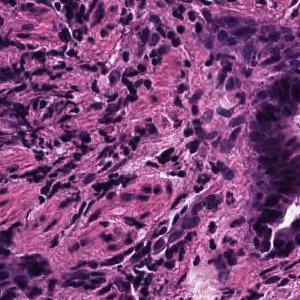
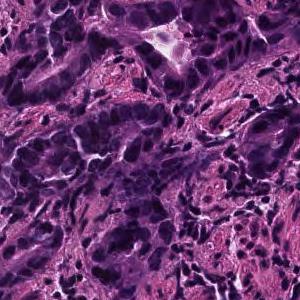
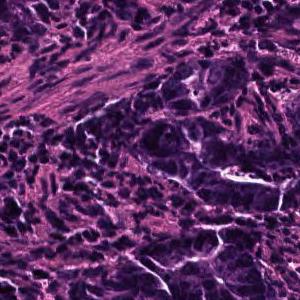
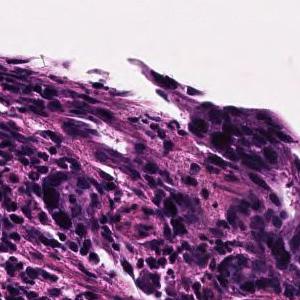
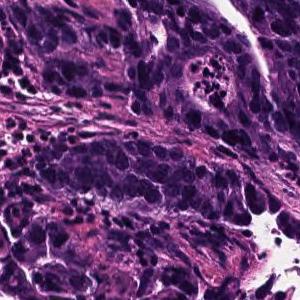
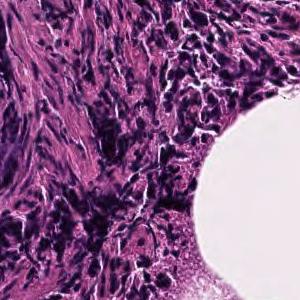
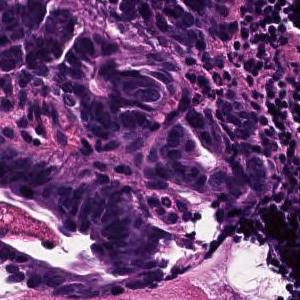
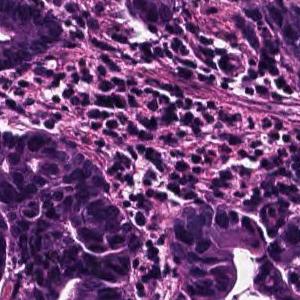
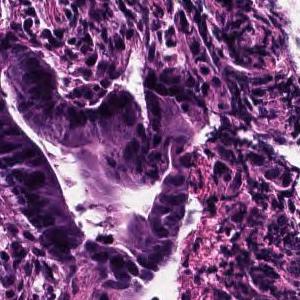
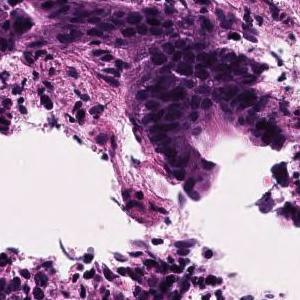
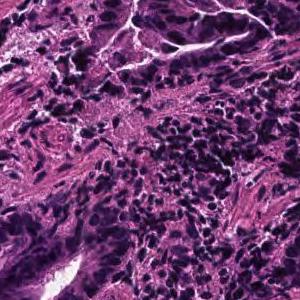
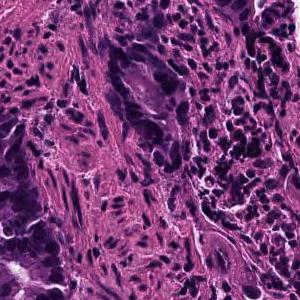
12 patches cut from one gastric biopsy slide · 300×300 px each · 20× magnification · hematoxylin and eosin stain.
The pathologist's report on the biopsy slide these tiles were taken from. The findings and the diagnosis refer to the entire slide; these tiles show only part of it, possibly with non-tumor tissue, and may not show every feature named.
On the superficial epithelium, tumor tissue consisting of large, irregular glandular ducts partially fused and infiltrated is observed. Well to moderately differentiated tubular adenocarcinoma (well differentiated tubular adenocarcinoma, moderately differentiated tubular adenocarcinoma)
Subtype: Well to moderately differentiated tubular adenocarcinoma.
